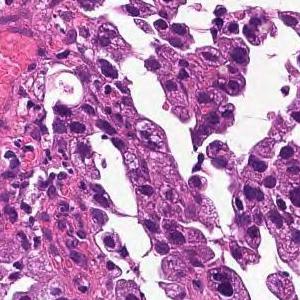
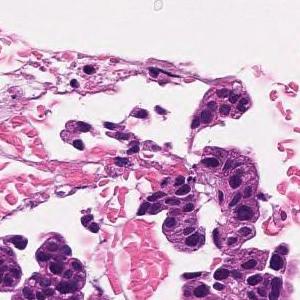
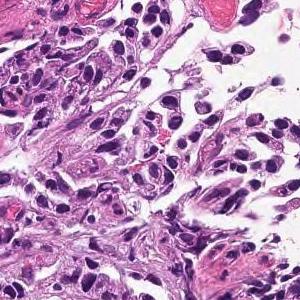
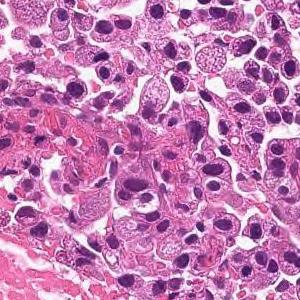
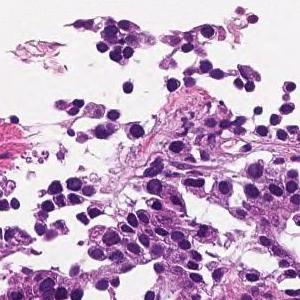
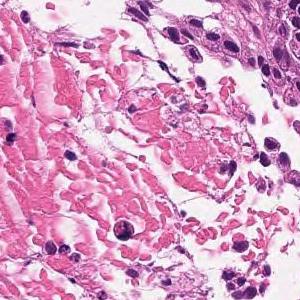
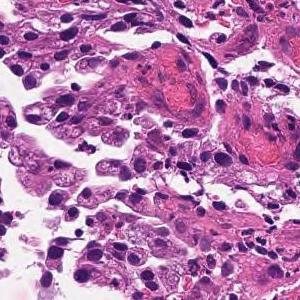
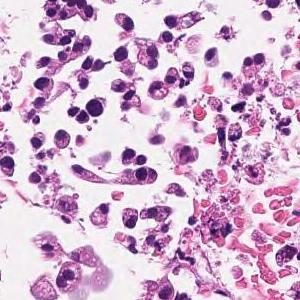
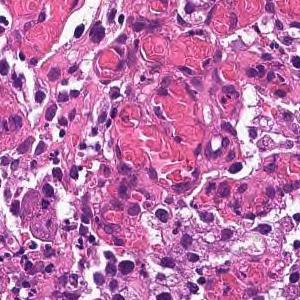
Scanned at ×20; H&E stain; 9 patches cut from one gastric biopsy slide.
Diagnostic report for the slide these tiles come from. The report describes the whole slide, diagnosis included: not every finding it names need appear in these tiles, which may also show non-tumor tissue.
In the superficial epithelium, tumor tissue that invades by forming medium-sized to small, irregular ducts is observed. moderately differentiated tubular adenocarcinoma.
